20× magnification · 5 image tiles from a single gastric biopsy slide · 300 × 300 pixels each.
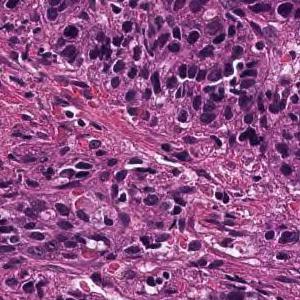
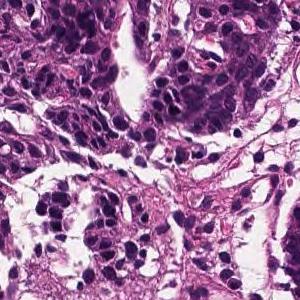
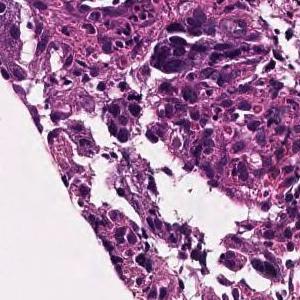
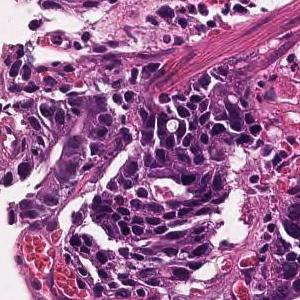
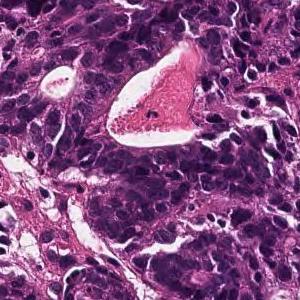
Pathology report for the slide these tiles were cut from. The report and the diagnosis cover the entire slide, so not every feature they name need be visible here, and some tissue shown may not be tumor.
Medium to small, irregular glandular ducts are formed in the superficial epithelium, and in some cases, the glandular ducts are fused to show solid alveolar lesions and infiltrating tumor tissue is observed. Moderately to poorly differentiated adenocarcinoma.
